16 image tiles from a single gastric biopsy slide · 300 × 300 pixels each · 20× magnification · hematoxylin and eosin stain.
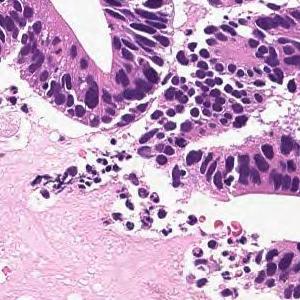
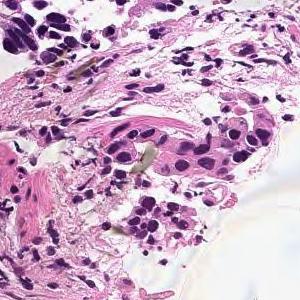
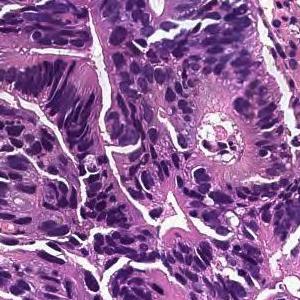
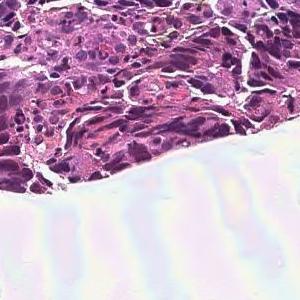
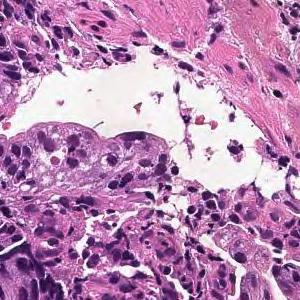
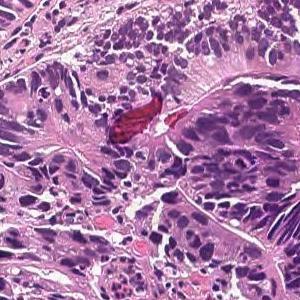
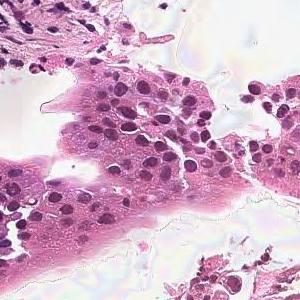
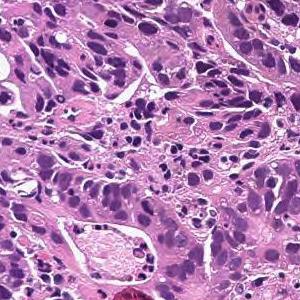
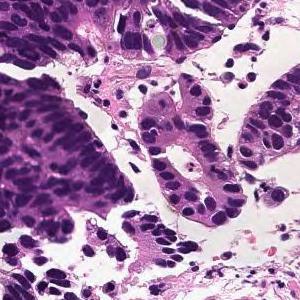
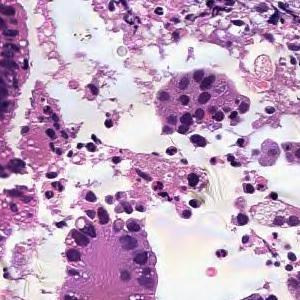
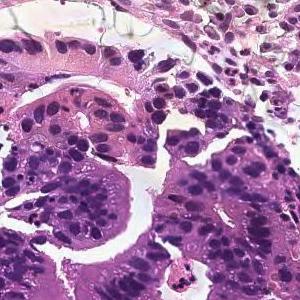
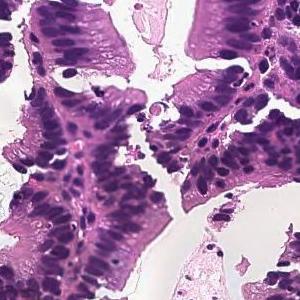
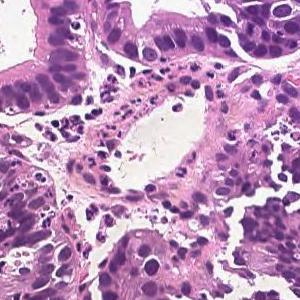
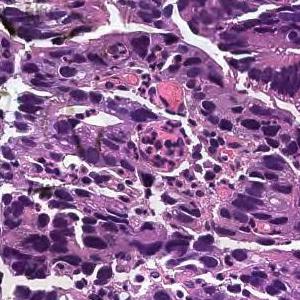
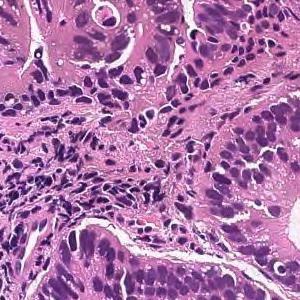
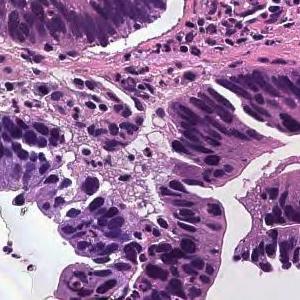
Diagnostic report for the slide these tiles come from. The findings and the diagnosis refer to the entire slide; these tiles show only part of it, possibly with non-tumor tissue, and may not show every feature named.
On the superficial epithelium, tumor tissue consisting of large irregular glandular ducts partially fused and infiltrated is observed. Well to moderately differentiated tubular adenocarcinoma (well differentiated tubular adenocarcinoma, moderately differentiated tubular adenocarcinoma)
Histologic type: Well to moderately differentiated tubular adenocarcinoma.
